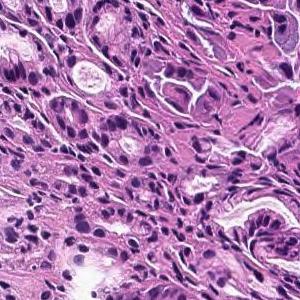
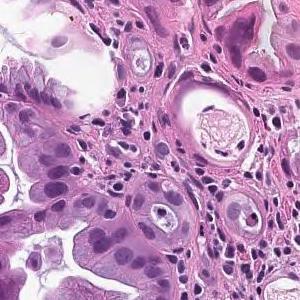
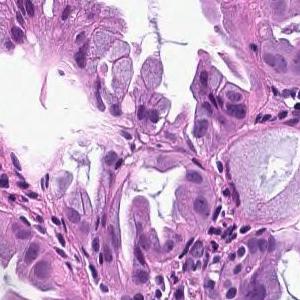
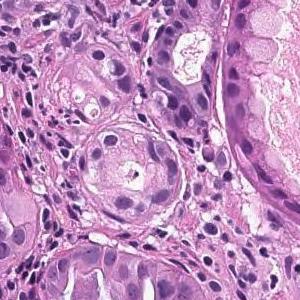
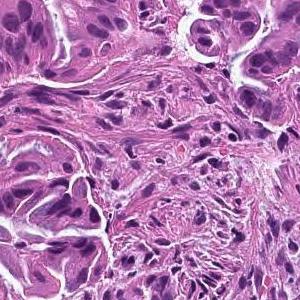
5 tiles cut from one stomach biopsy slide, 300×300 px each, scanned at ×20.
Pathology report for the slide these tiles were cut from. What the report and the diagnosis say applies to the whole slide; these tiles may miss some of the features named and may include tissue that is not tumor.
From the superficial epithelium to the muscularis mucosae, tumor tissue consisting of medium-sized and irregular glandular ducts infiltrating is observed. Well differentiated tubular adenocarcinoma
